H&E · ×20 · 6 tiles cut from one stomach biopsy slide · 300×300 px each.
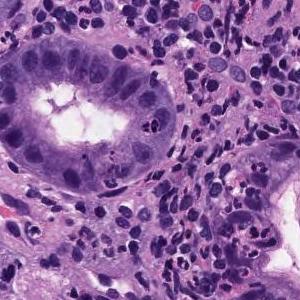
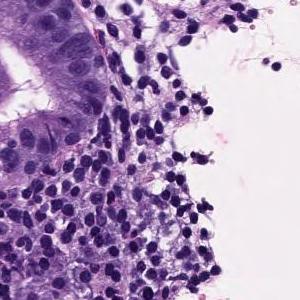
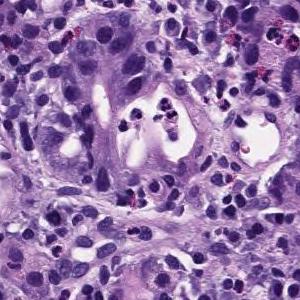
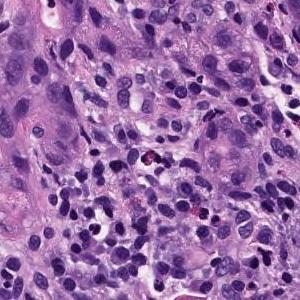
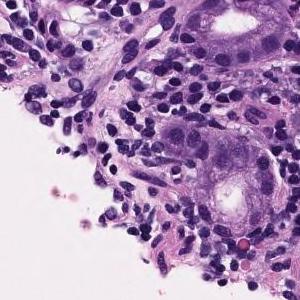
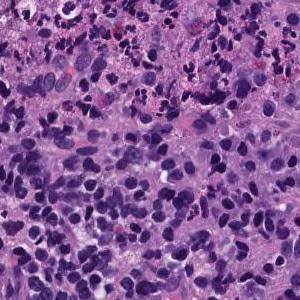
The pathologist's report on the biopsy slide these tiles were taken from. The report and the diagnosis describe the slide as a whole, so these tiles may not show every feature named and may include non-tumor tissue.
Medium to small, irregular glandular ducts are formed in the superficial epithelium, and in some cases, the glandular ducts are fused to show solid alveolar lesions and infiltrating tumor tissue is observed. Moderately to poorly differentiated adenocarcinoma.
